H&E stain; 8 patches cut from one gastric biopsy slide.
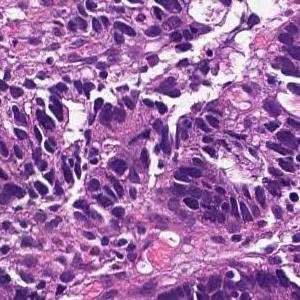
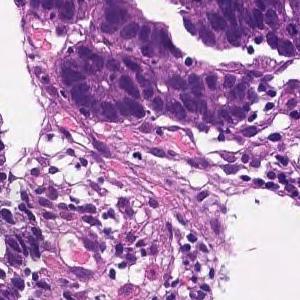
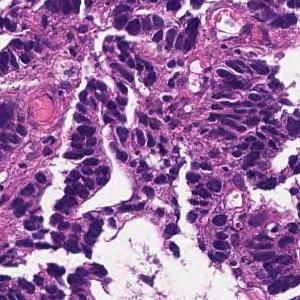
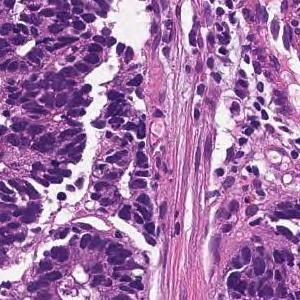
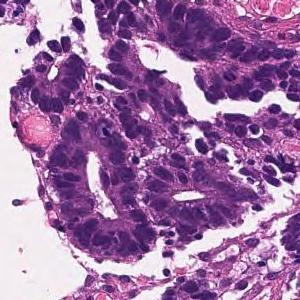
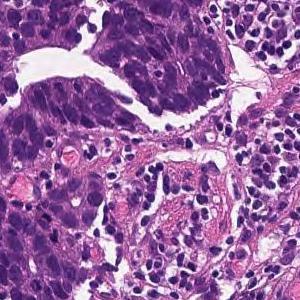
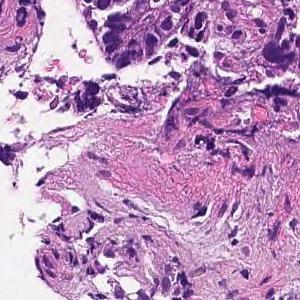
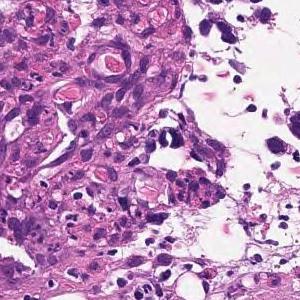
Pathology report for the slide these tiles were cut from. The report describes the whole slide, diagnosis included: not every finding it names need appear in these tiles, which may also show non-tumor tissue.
In the superficial epithelium, tumor tissue that invades by forming medium-sized to small, irregular ducts is observed. Moderately differentiated adenocarcinoma (moderately differentiated tubular adenocarcinoma).
Histological subtype: Moderately differentiated tubular adenocarcinoma.
